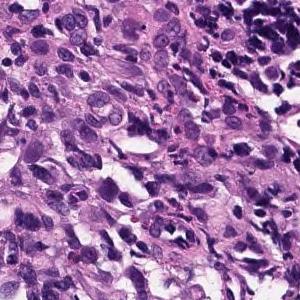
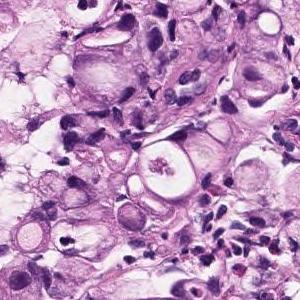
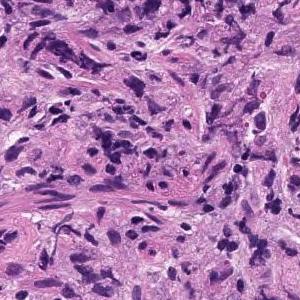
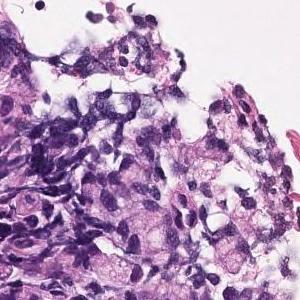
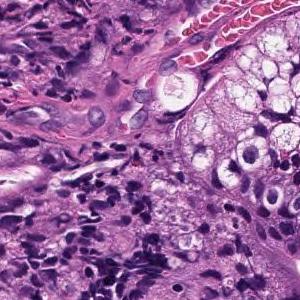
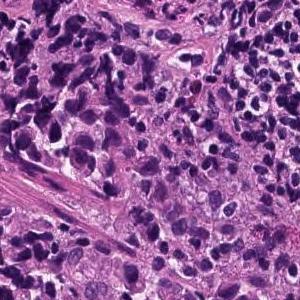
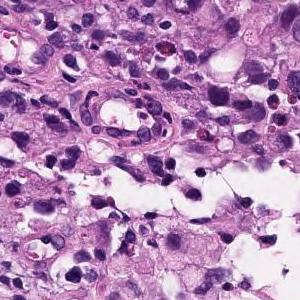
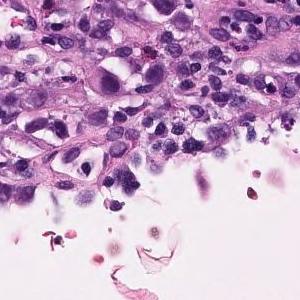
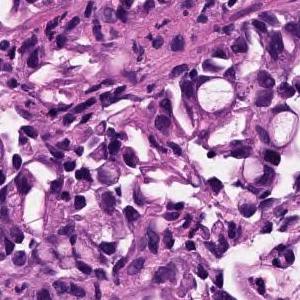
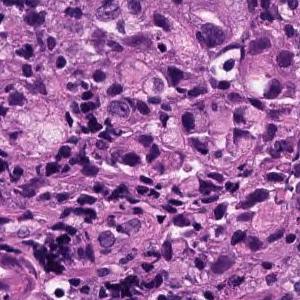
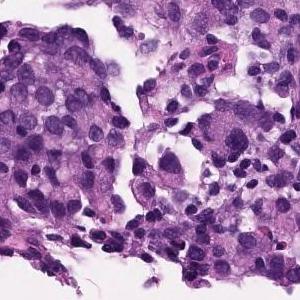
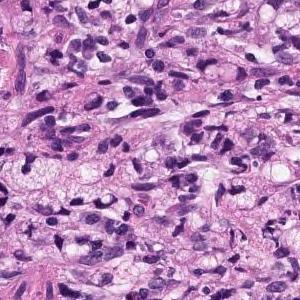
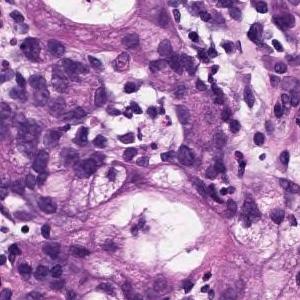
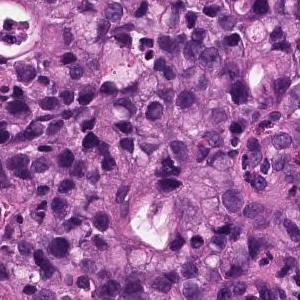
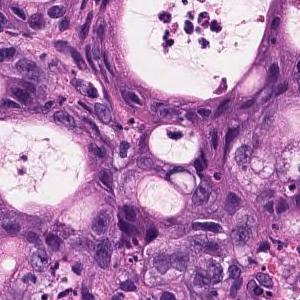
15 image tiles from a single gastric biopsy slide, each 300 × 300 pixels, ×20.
Diagnostic report for the slide these tiles come from. The findings and the diagnosis refer to the entire slide; these tiles show only part of it, possibly with non-tumor tissue, and may not show every feature named.
Atypical epithelium forms irregularly fused gland ducts and proliferates. Poorly differentiated adenocarcinoma.
Histologic type: Poorly differentiated adenocarcinoma, non-solid type.
The non-solid type named here is a Japanese Classification of Gastric Carcinoma category.
